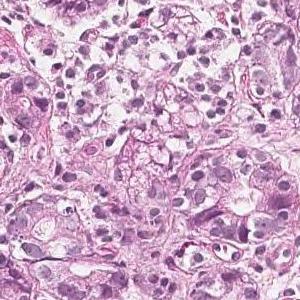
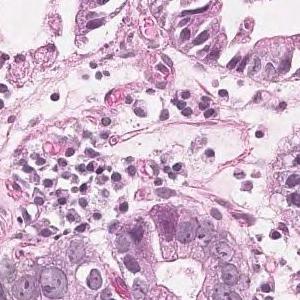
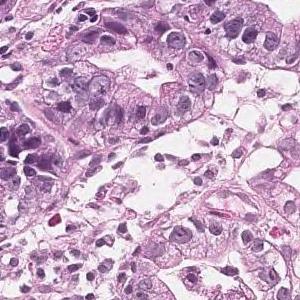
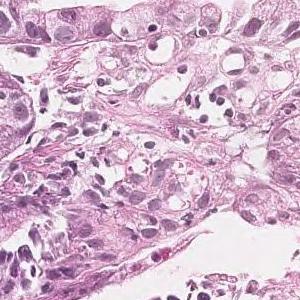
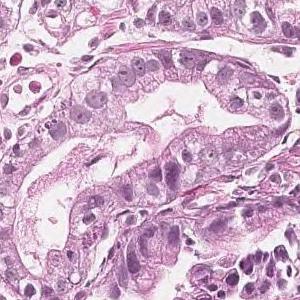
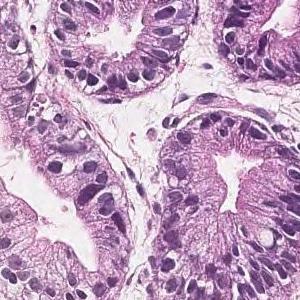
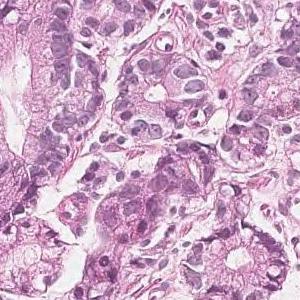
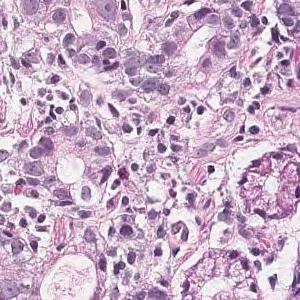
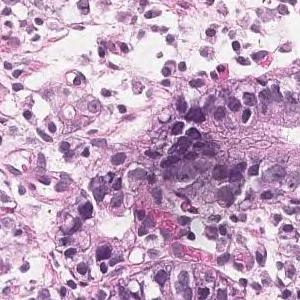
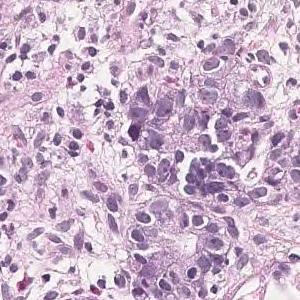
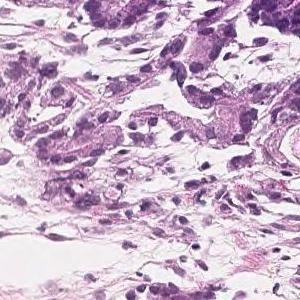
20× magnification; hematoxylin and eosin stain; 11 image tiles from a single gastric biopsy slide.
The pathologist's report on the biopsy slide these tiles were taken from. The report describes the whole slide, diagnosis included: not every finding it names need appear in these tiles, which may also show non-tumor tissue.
In the superficial epithelium, tumor tissue that invades by forming medium-sized to small, irregular ducts is observed. moderately differentiated tubular adenocarcinoma.
